H&E · scanned at ×20 · 6 tiles from the same stomach biopsy slide.
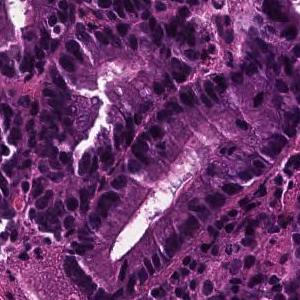
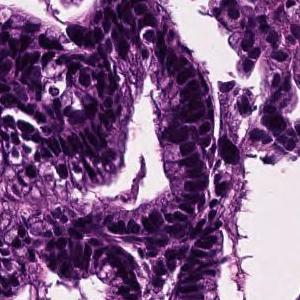
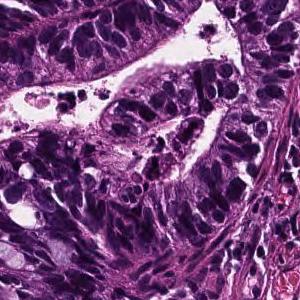
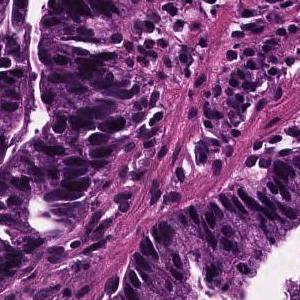
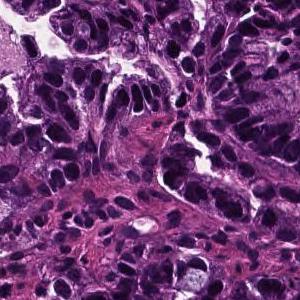
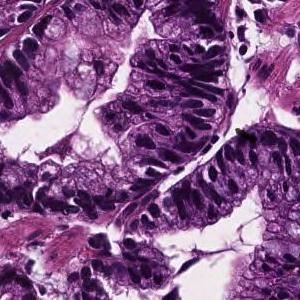
Diagnostic report for the slide these tiles come from. Both the report and the diagnosis are for the whole slide: these tiles need not show every feature named, and some of the tissue shown may not be tumor.
In the superficial epithelium, tumor tissue that invades by forming medium-sized to small, irregular ducts is observed. Well differentiated tubular adenocarcinoma.
